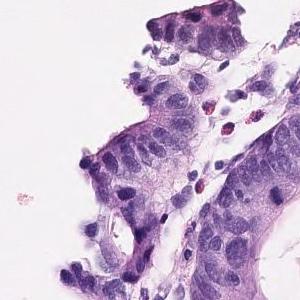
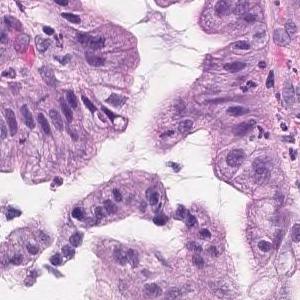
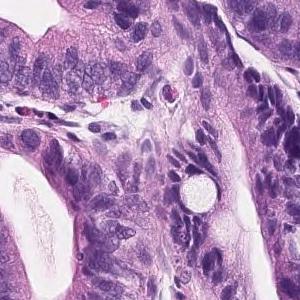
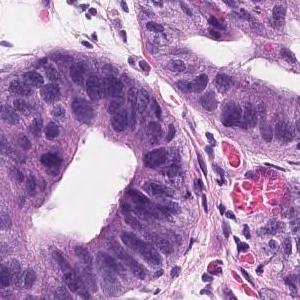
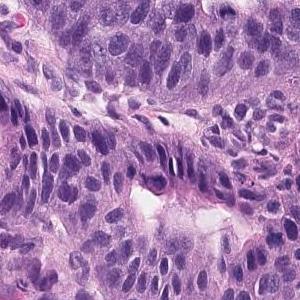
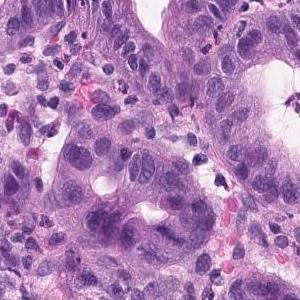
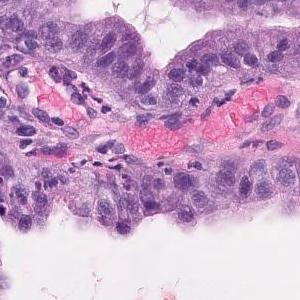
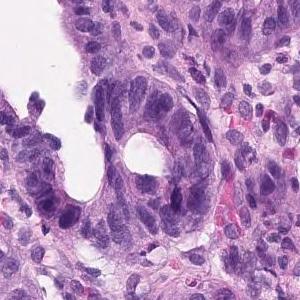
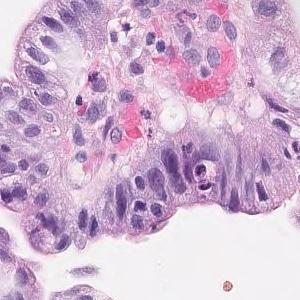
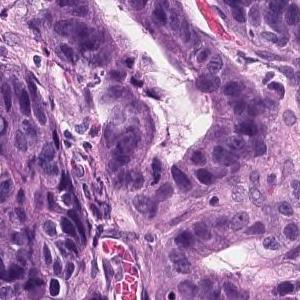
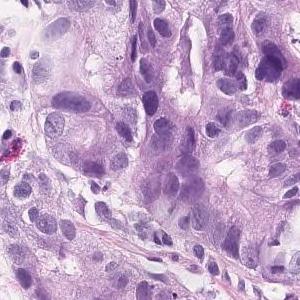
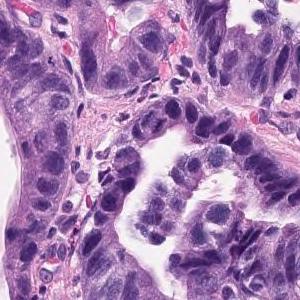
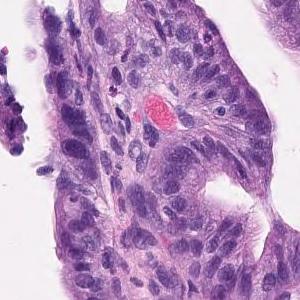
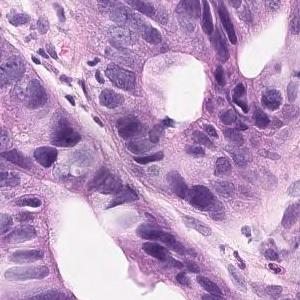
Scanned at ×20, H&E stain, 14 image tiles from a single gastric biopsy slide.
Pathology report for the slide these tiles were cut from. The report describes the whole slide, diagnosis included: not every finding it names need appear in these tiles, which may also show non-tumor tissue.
On the superficial epithelium, tumor tissue consisting of medium-sized to large-sized, round or irregular glandular duct growth images is observed. Well differentiated adenocarcinoma.
Tumor subtype: well differentiated tubular adenocarcinoma.
